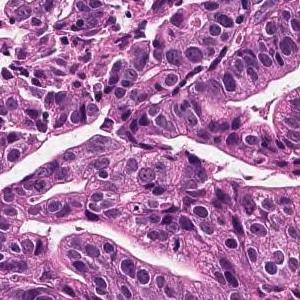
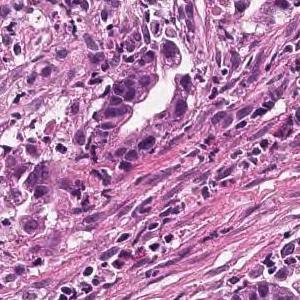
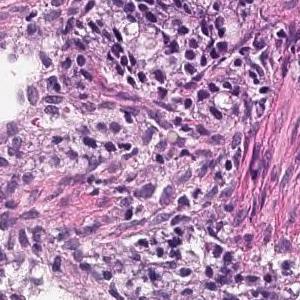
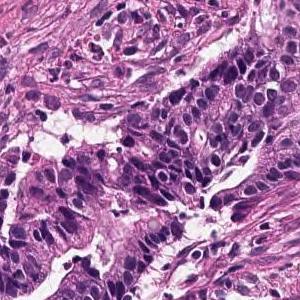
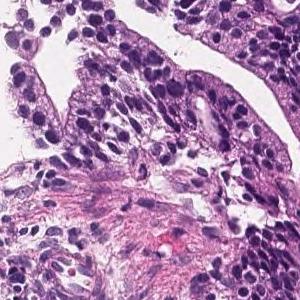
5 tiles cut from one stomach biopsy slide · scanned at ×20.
Report on the slide these tiles come from. The findings and the diagnosis refer to the entire slide; these tiles show only part of it, possibly with non-tumor tissue, and may not show every feature named.
Tumor cells are large, highly columnar, large club-shaped nuclei, and are associated with chromatin aggregation. Papillary adenocarcinoma.
